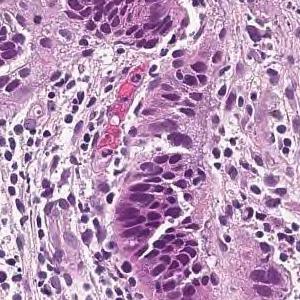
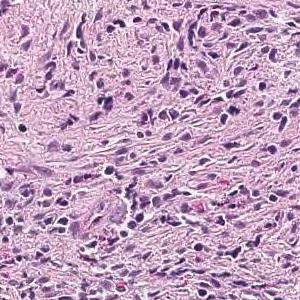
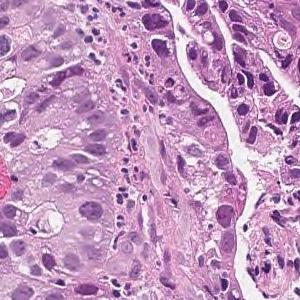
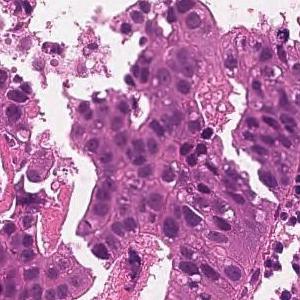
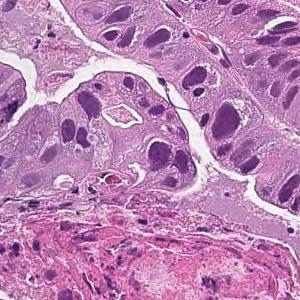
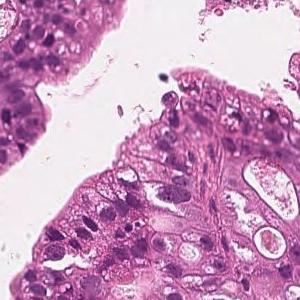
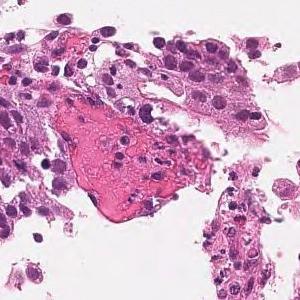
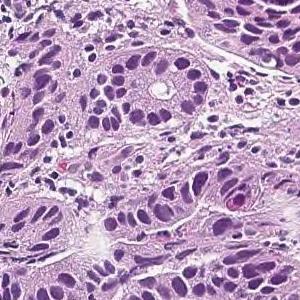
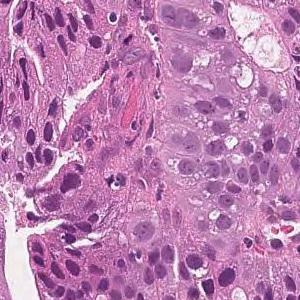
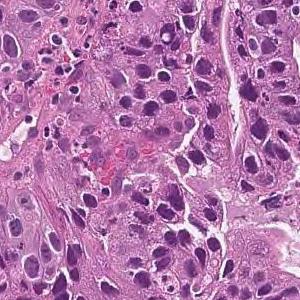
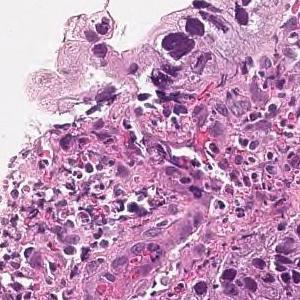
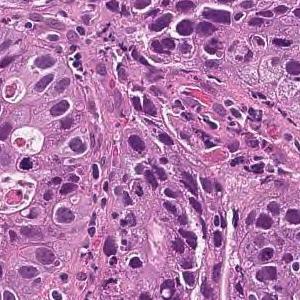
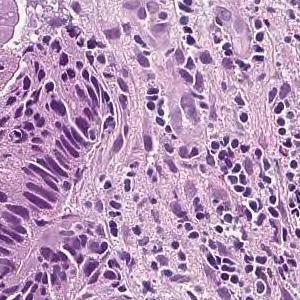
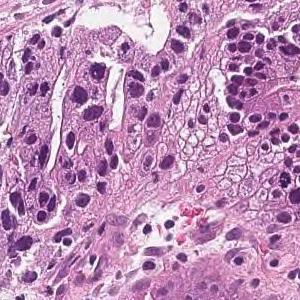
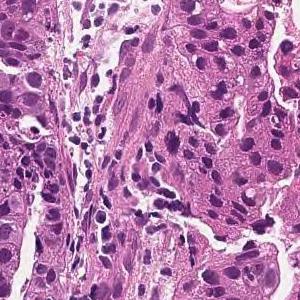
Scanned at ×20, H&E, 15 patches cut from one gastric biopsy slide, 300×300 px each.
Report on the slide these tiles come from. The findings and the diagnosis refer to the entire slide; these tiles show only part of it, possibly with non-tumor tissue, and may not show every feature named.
In the superficial epithelium, tumor tissue that invades by forming medium-sized to small, irregular ducts is observed. moderately differentiated tubular adenocarcinoma.
